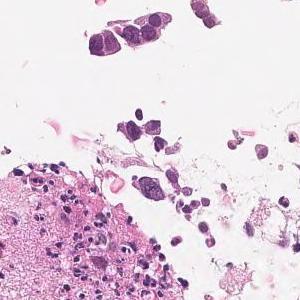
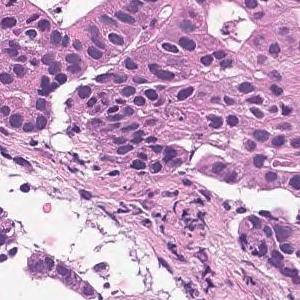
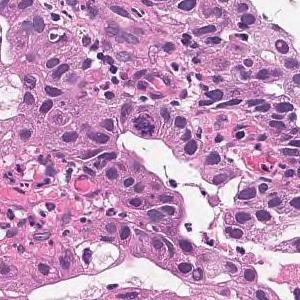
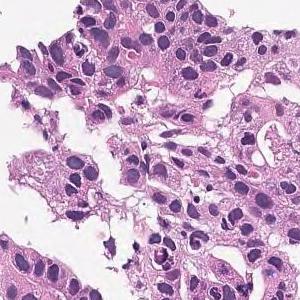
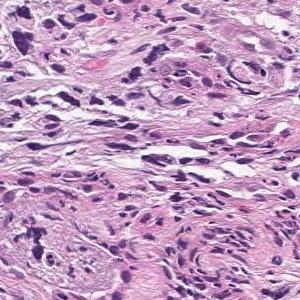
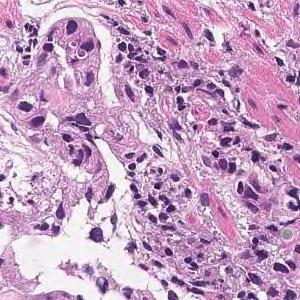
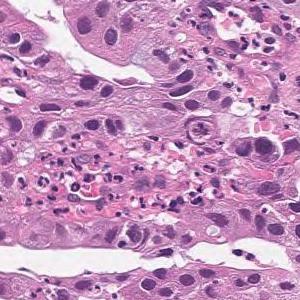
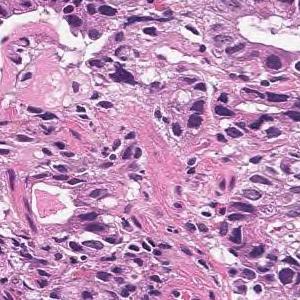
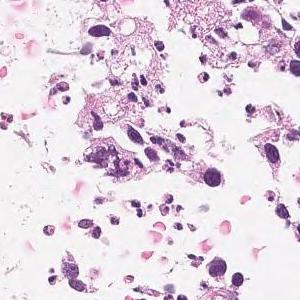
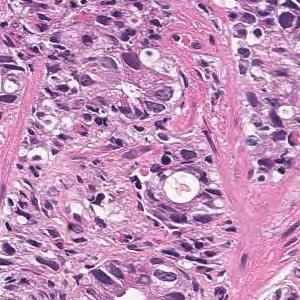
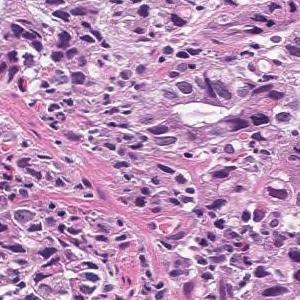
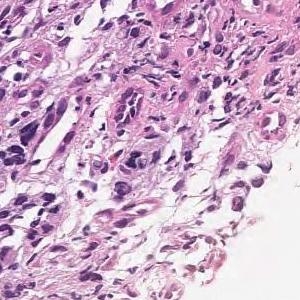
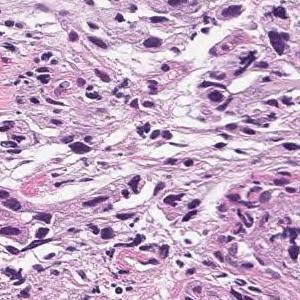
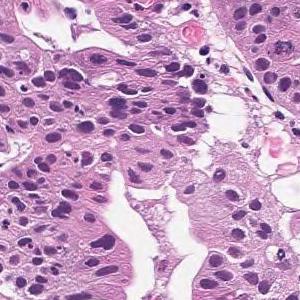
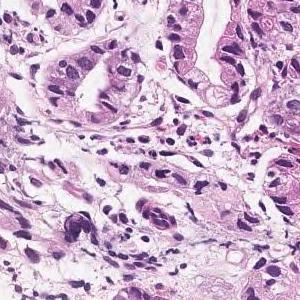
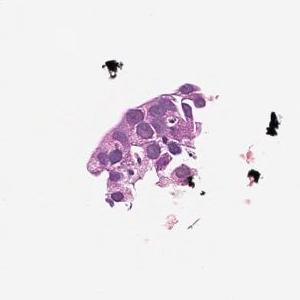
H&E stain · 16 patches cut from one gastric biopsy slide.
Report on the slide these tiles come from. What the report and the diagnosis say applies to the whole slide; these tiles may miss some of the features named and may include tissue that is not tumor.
Tumor tissue that grows by forming gland ducts from the surface layer to the submucosa is observed. moderately differentiated tubular adenocarcinoma
